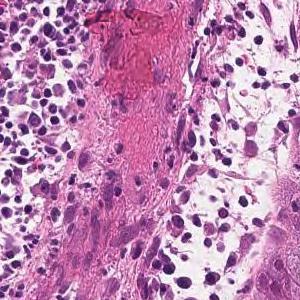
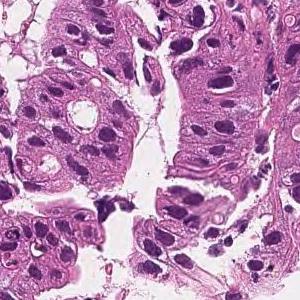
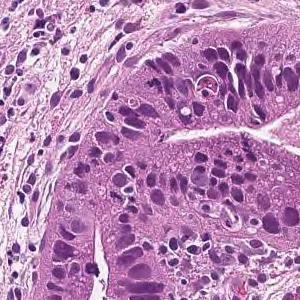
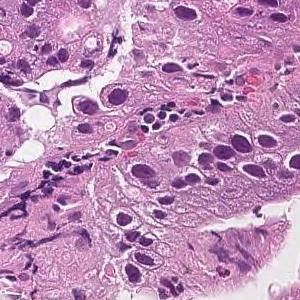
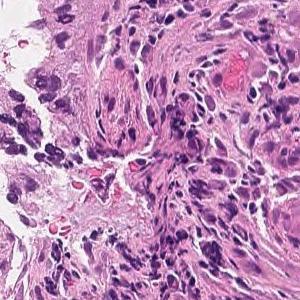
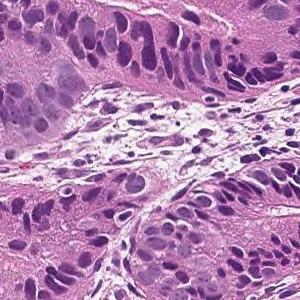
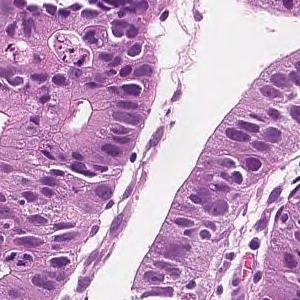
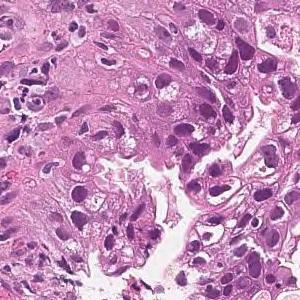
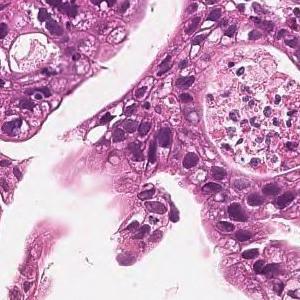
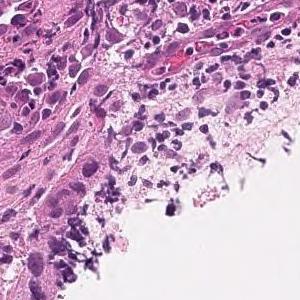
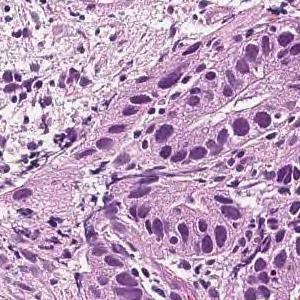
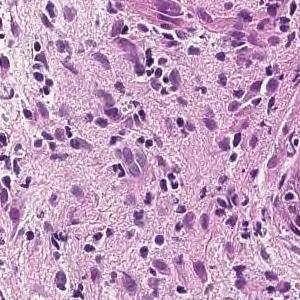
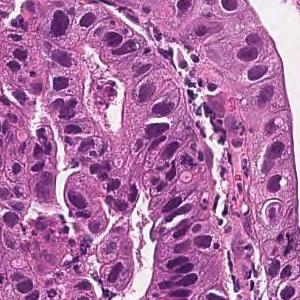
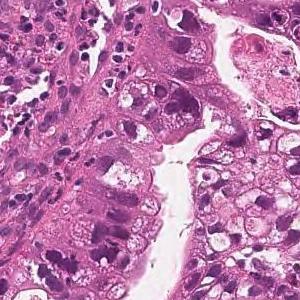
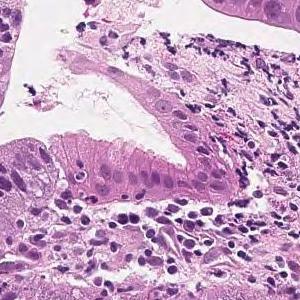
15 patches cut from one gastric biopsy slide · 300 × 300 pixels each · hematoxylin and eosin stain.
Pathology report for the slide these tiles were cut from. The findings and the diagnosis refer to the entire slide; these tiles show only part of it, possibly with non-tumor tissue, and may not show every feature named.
In the superficial epithelium, tumor tissue that invades by forming medium-sized to small, irregular ducts is observed. moderately differentiated tubular adenocarcinoma.
